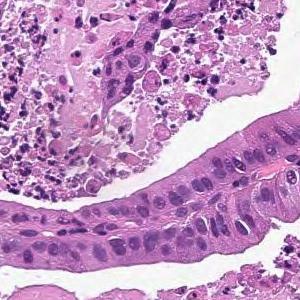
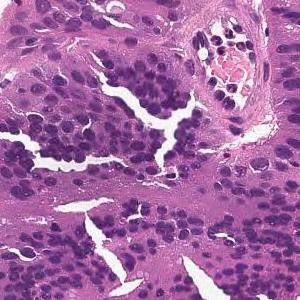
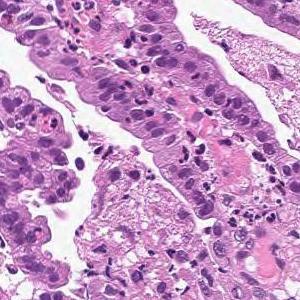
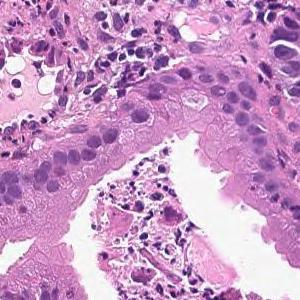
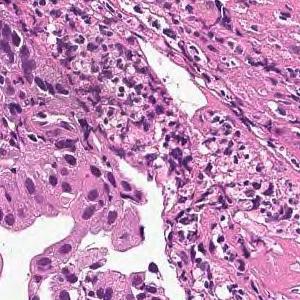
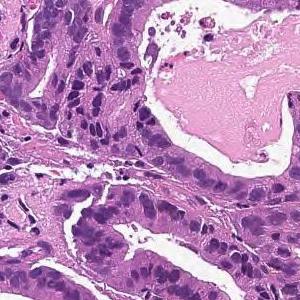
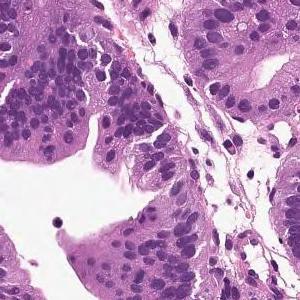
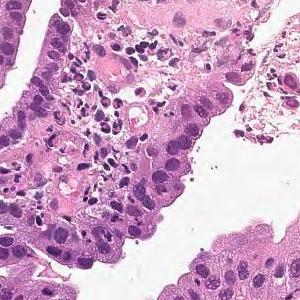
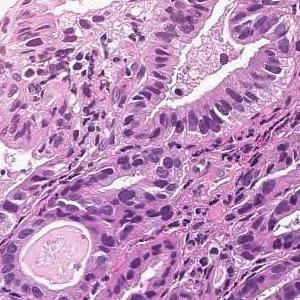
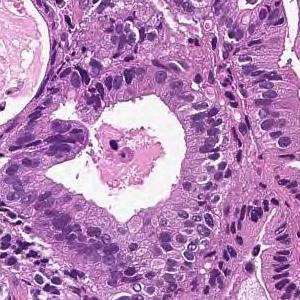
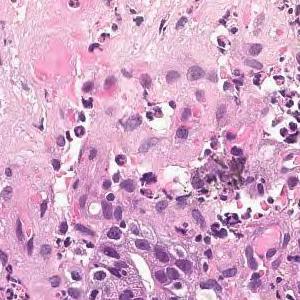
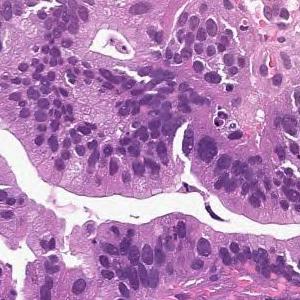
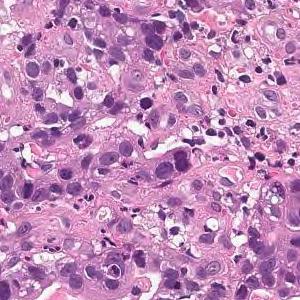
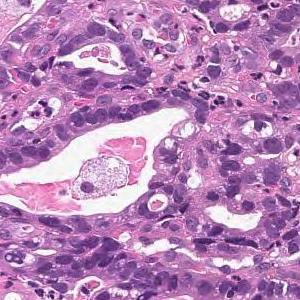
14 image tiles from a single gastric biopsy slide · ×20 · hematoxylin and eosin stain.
Pathology report for the biopsy slide these tiles were cut from. Both the report and the diagnosis are for the whole slide: these tiles need not show every feature named, and some of the tissue shown may not be tumor.
From the superficial epithelium to the muscularis mucosae, tumor tissue consisting of medium-sized and irregular glandular ducts infiltrating is observed. Well differentiated tubular adenocarcinoma
